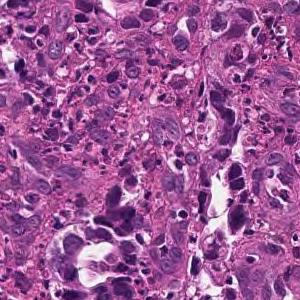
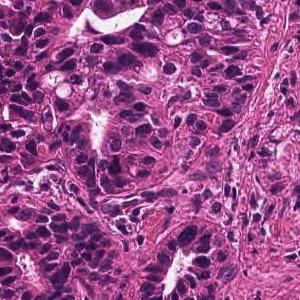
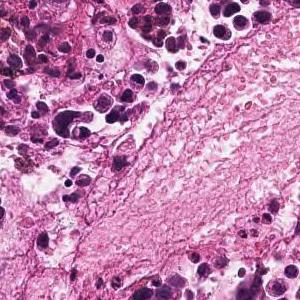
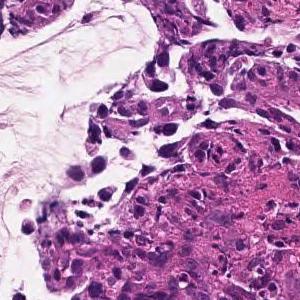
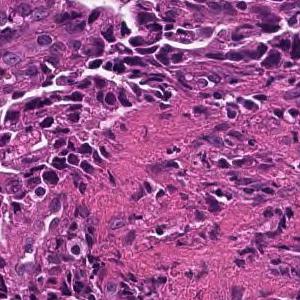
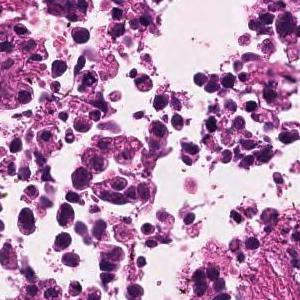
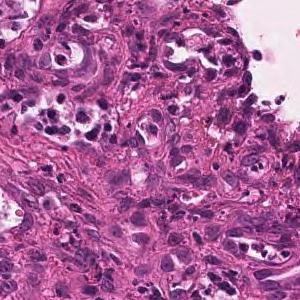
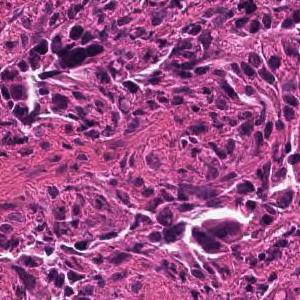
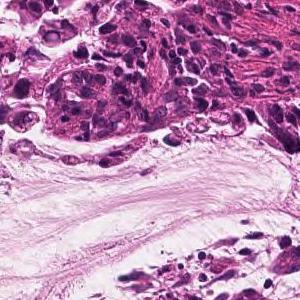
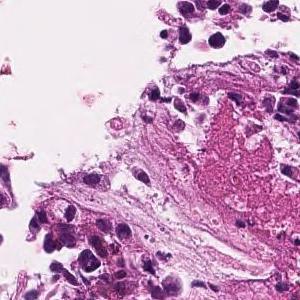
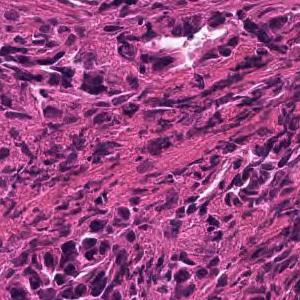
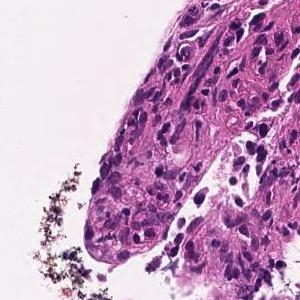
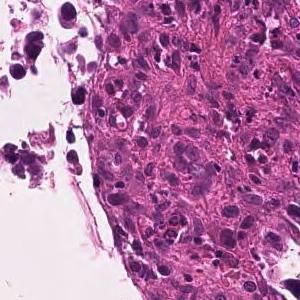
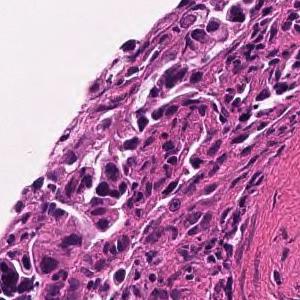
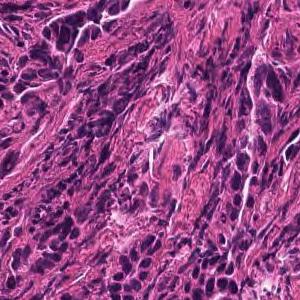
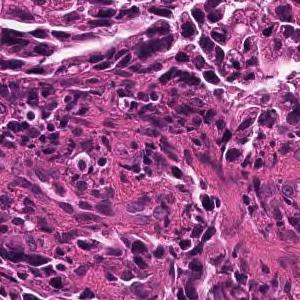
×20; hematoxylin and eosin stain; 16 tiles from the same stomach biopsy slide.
Pathology report for the biopsy slide these tiles were cut from. Both the report and the diagnosis are for the whole slide: these tiles need not show every feature named, and some of the tissue shown may not be tumor.
In the superficial epithelium, tumor tissue that invades by forming medium-sized to small, irregular ducts is observed. moderately differentiated tubular adenocarcinoma.
